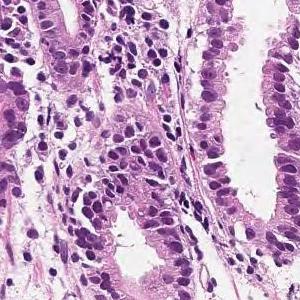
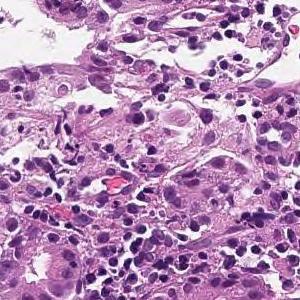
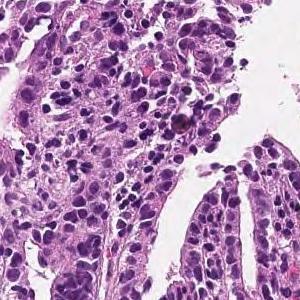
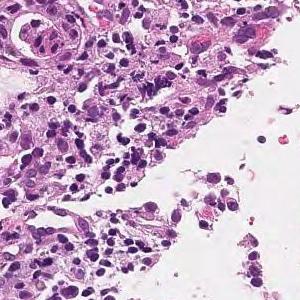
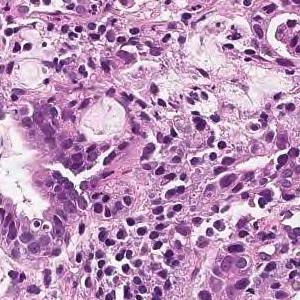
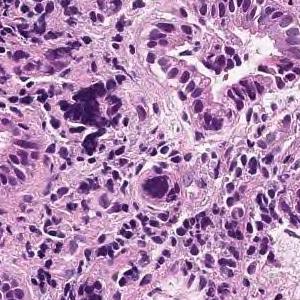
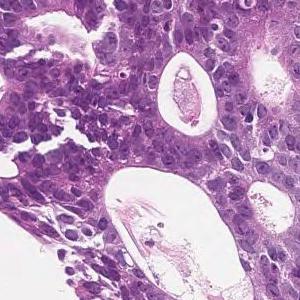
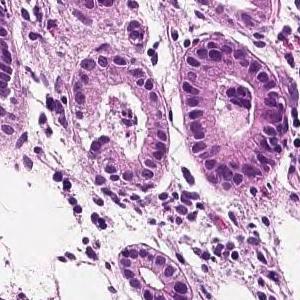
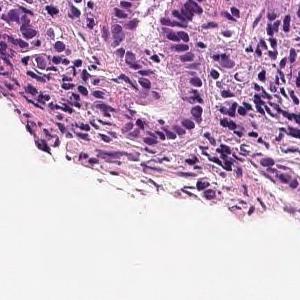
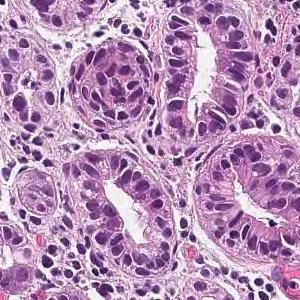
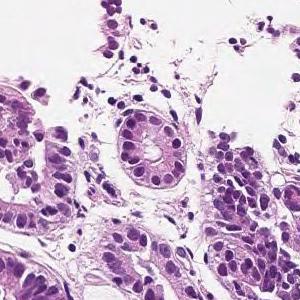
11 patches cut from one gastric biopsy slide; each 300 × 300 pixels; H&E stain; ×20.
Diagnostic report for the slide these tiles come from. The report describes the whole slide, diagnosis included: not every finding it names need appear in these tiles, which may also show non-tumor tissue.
In the superficial epithelium, tumor tissue that invades by forming medium-sized to small, irregular ducts is observed. moderately differentiated tubular adenocarcinoma.
